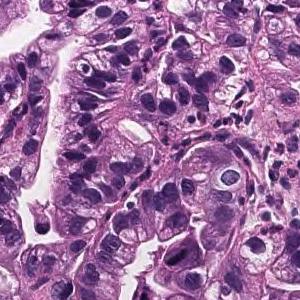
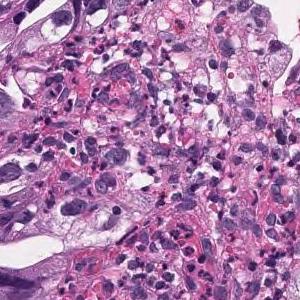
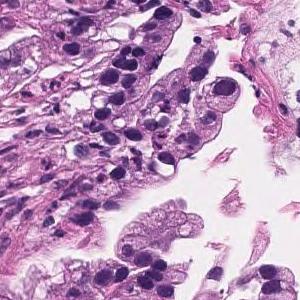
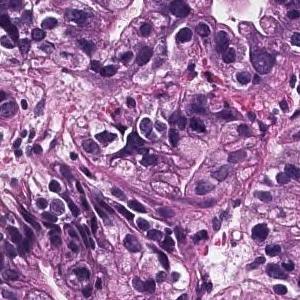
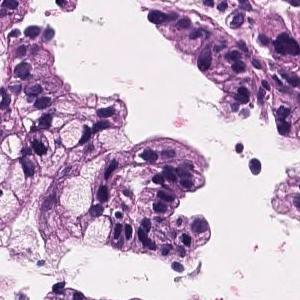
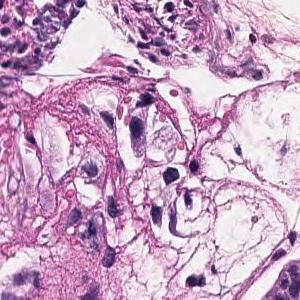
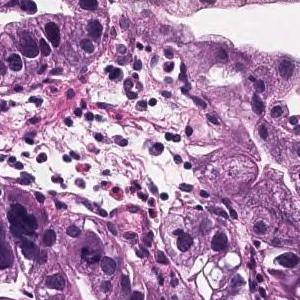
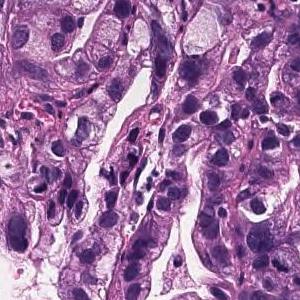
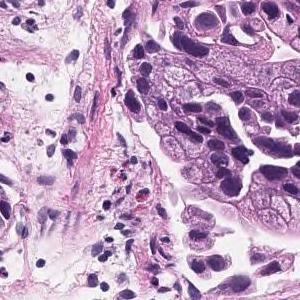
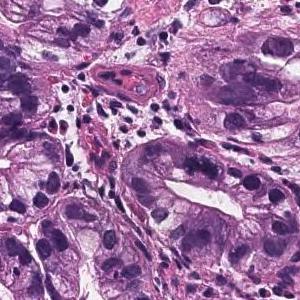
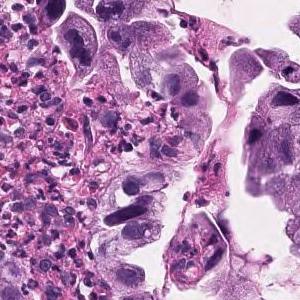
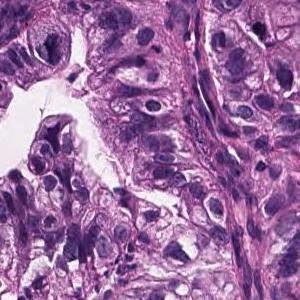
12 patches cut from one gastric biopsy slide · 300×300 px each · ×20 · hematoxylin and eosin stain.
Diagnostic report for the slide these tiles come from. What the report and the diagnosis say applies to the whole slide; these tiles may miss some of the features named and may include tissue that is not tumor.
Tumor cells are large, highly columnar, large club-shaped nuclei, and are associated with chromatin aggregation. Papillary adenocarcinoma.
